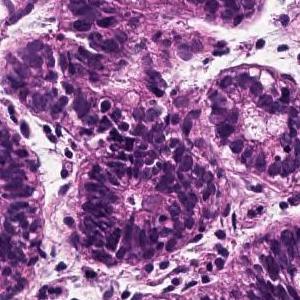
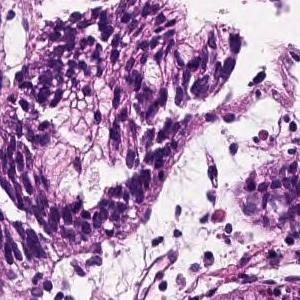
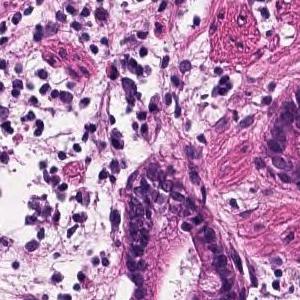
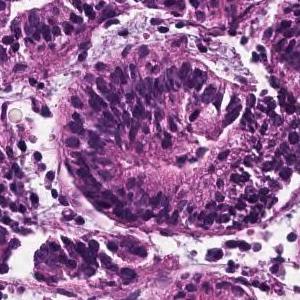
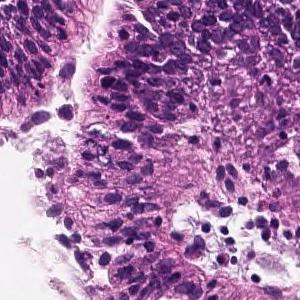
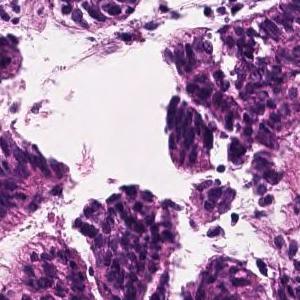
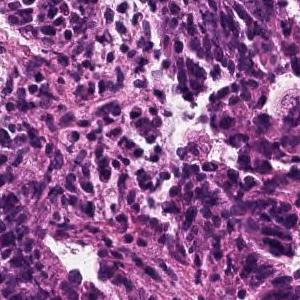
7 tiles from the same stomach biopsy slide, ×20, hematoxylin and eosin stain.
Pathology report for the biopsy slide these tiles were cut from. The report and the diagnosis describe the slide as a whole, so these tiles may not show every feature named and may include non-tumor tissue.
Tumor cells are large, highly columnar, large club-shaped nuclei, and are associated with chromatin aggregation. Papillary adenocarcinoma.
